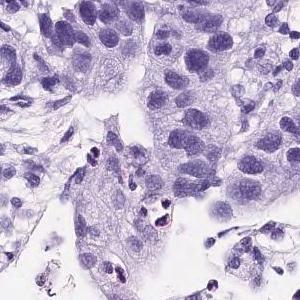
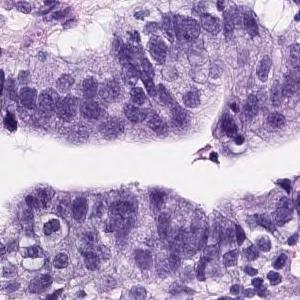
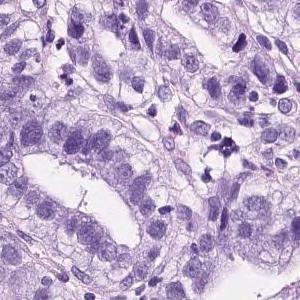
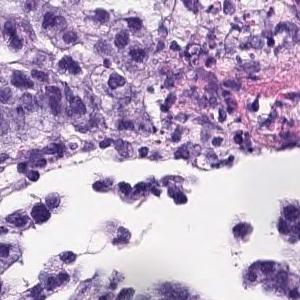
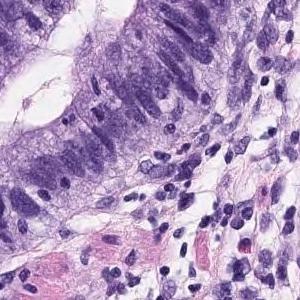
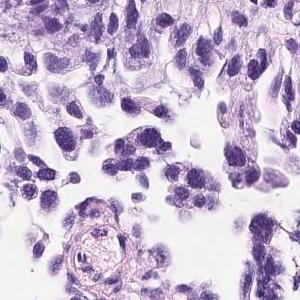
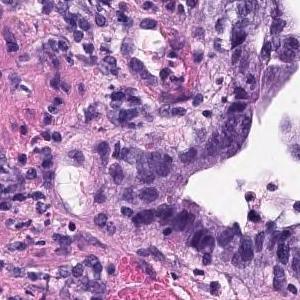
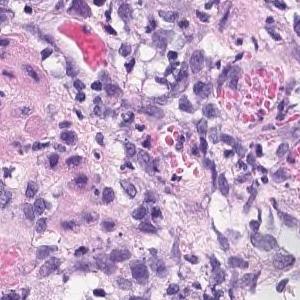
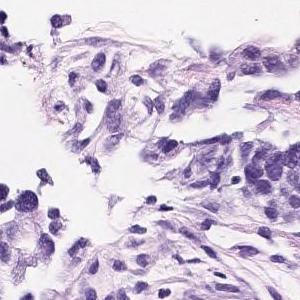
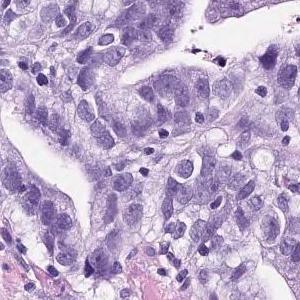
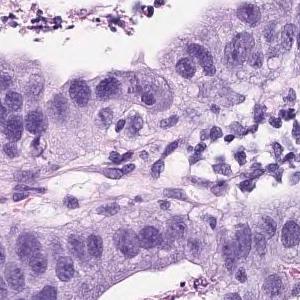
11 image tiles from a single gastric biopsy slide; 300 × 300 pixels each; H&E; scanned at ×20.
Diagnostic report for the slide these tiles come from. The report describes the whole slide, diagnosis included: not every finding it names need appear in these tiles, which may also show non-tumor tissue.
On the superficial epithelium, tumor tissue consisting of medium to small irregular tubules partially fused and proliferated is observed. moderately differentiated tubular adenocarcinoma
